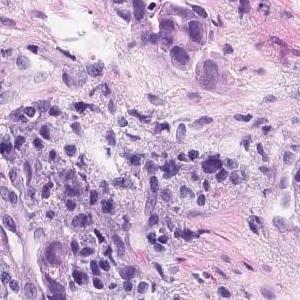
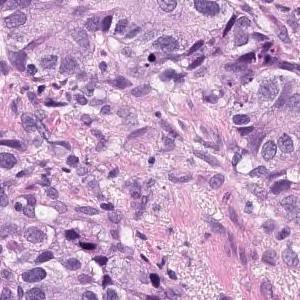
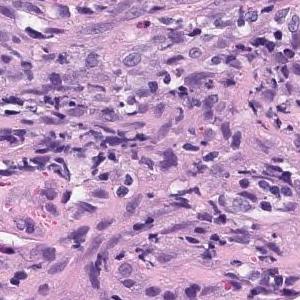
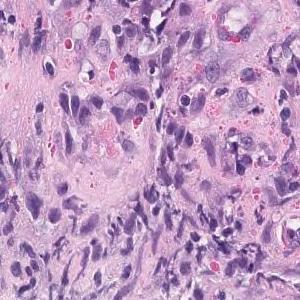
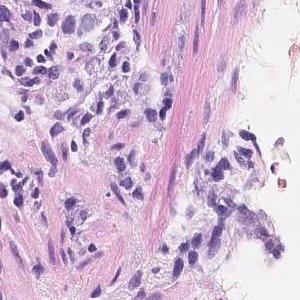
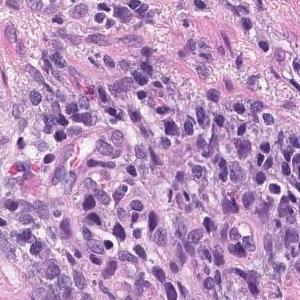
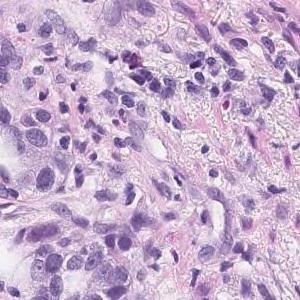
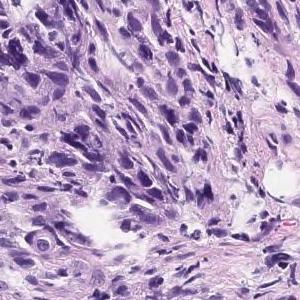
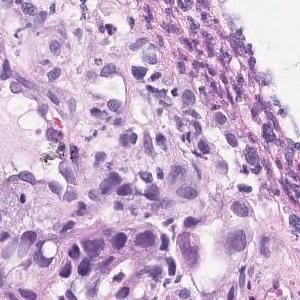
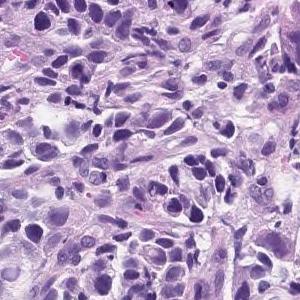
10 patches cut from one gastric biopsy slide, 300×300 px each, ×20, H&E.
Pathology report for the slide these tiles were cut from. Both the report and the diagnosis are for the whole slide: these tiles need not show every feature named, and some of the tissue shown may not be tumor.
Group 5, Moderately differentiated adenocarcinoma
Classified as moderately differentiated tubular adenocarcinoma.
